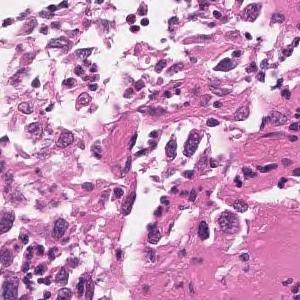
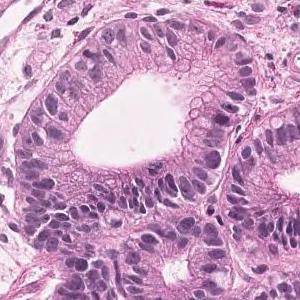
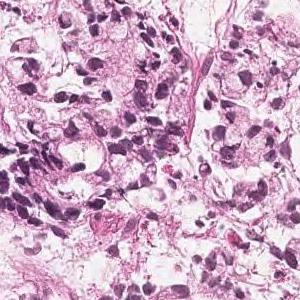
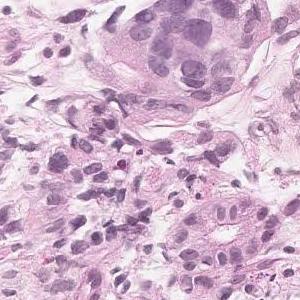
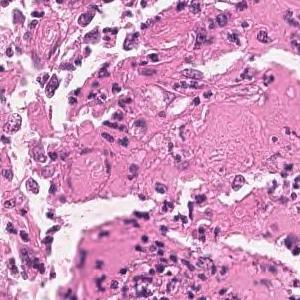
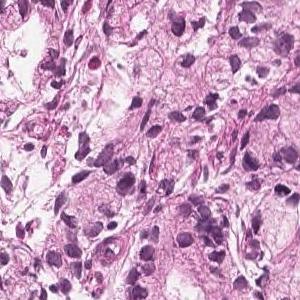
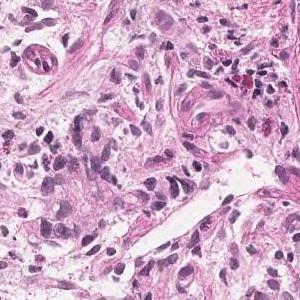
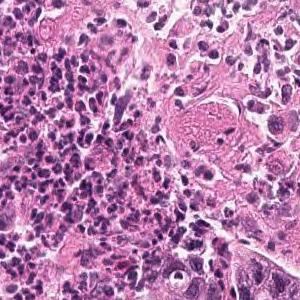
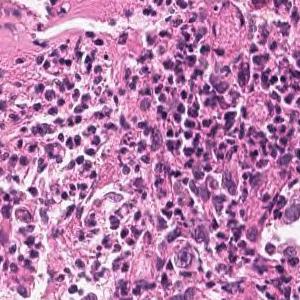
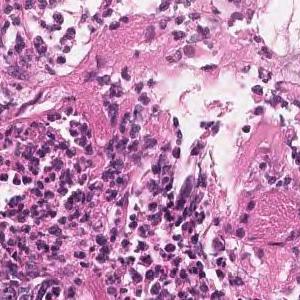
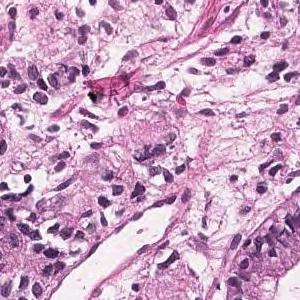
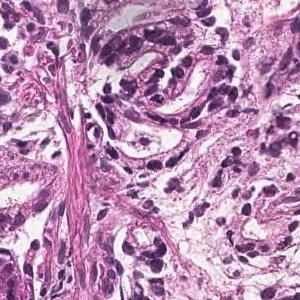
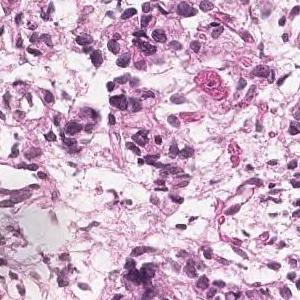
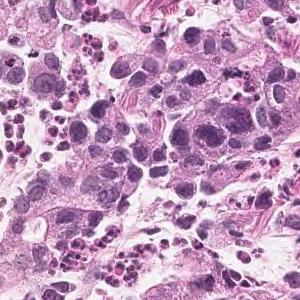
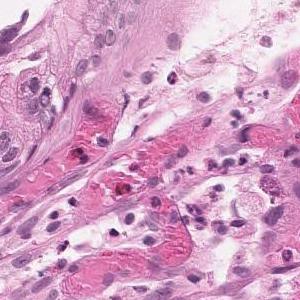
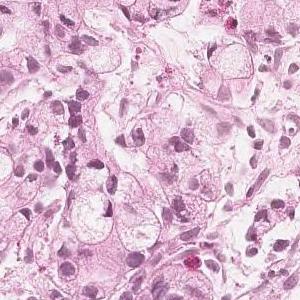
16 tiles cut from one stomach biopsy slide · 20× magnification · hematoxylin and eosin stain.
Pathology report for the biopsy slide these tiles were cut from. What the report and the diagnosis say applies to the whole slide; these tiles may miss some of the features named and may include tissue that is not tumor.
In the superficial epithelium, medium to small irregular gland ducts are formed, and in some cases, the ducts are fused to show solid alveolar lesions and infiltrating tumor tissue is observed. Moderately to poorly differentiated adenocarcinoma
